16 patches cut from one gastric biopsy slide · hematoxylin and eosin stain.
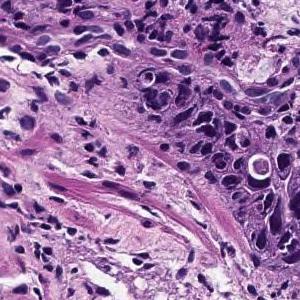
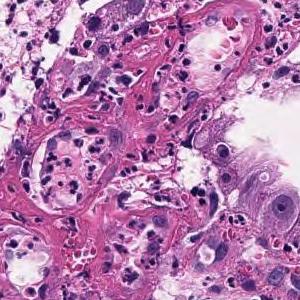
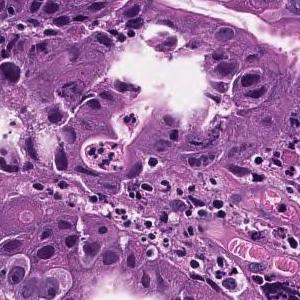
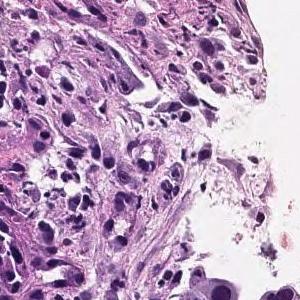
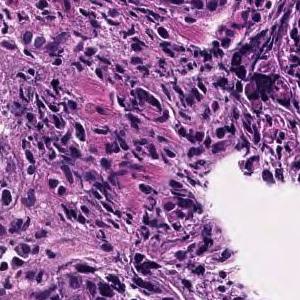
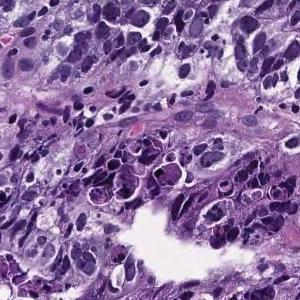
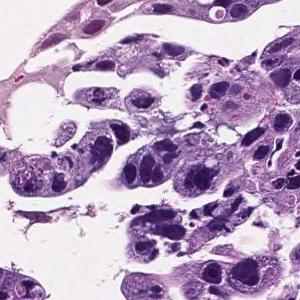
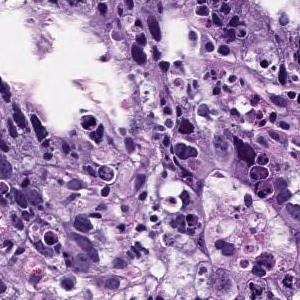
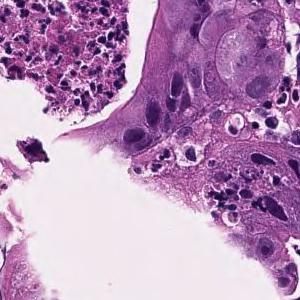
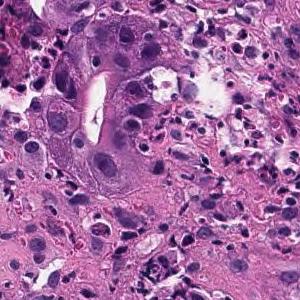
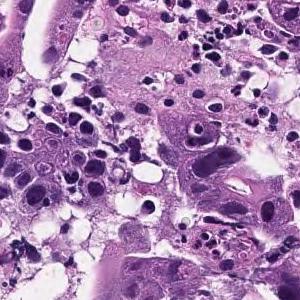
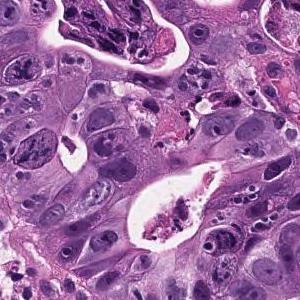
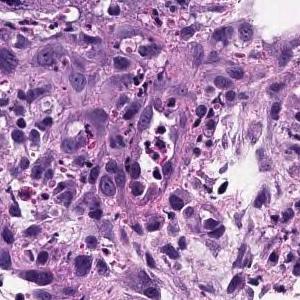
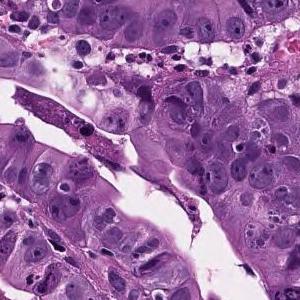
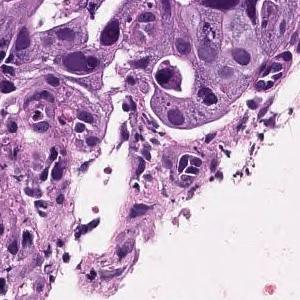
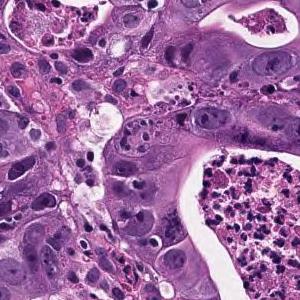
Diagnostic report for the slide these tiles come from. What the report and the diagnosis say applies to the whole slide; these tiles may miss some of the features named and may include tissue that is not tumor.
In the superficial epithelium, medium to small irregular gland ducts are formed, and in some cases, the ducts are fused to show solid alveolar lesions and infiltrating tumor tissue is observed. Moderately to poorly differentiated adenocarcinoma
